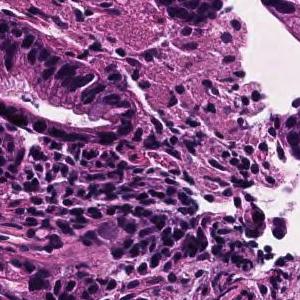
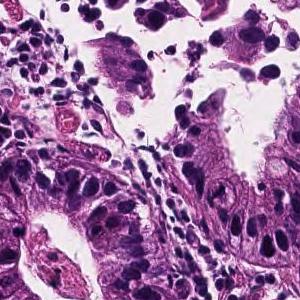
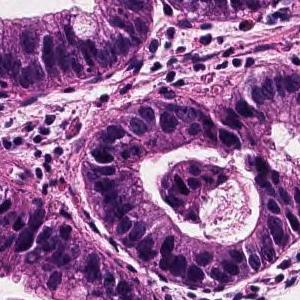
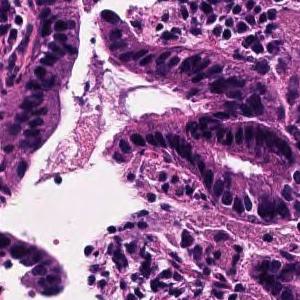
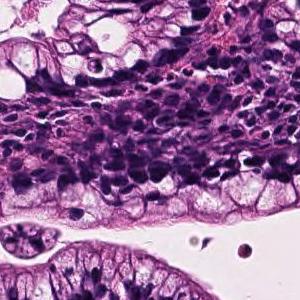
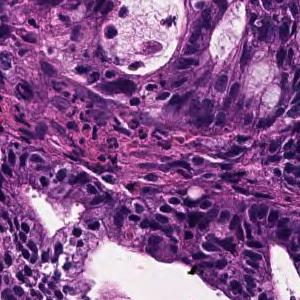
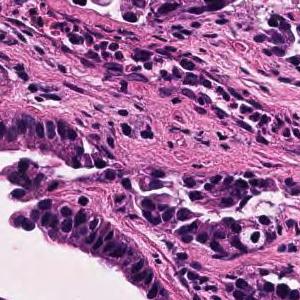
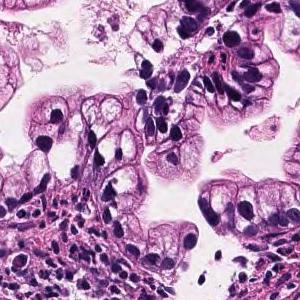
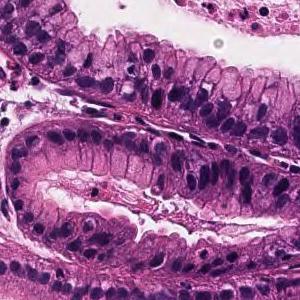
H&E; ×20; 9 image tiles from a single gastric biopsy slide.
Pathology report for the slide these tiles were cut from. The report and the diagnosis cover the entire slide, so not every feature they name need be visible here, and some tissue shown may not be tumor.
Tumor cells are large, highly columnar, large club-shaped nuclei, and are associated with chromatin aggregation. Papillary adenocarcinoma.
